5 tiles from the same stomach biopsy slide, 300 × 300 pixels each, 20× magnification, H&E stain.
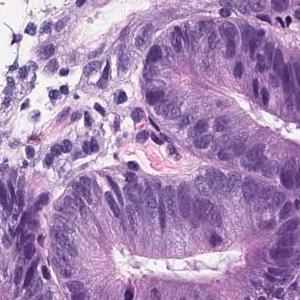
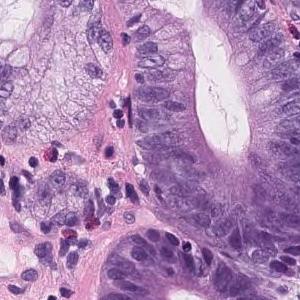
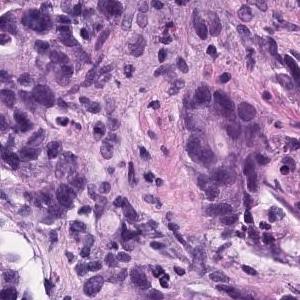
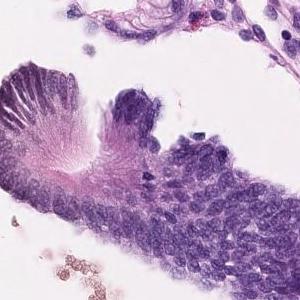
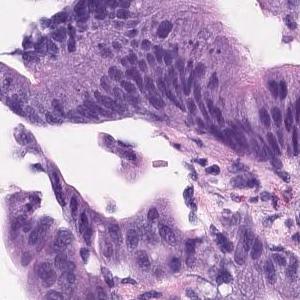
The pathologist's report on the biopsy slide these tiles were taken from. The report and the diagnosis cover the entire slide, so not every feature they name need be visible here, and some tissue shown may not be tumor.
On the superficial epithelium, tumor tissue with densely growing medium to large, round tubules is observed. Tumor cells are highly columnar, with nuclei aligned basolaterally and polarized. Well differentiated tubular adenocarcinoma
